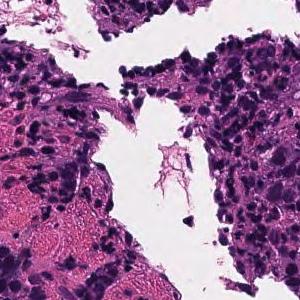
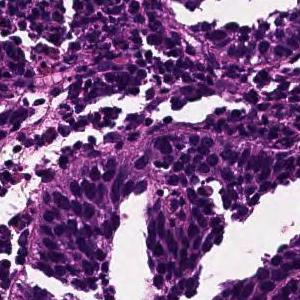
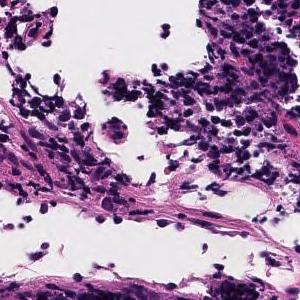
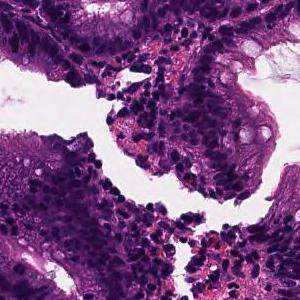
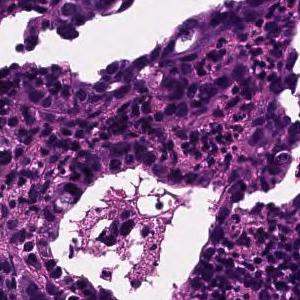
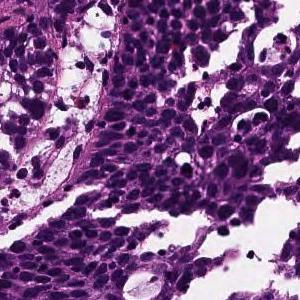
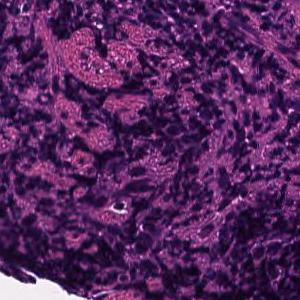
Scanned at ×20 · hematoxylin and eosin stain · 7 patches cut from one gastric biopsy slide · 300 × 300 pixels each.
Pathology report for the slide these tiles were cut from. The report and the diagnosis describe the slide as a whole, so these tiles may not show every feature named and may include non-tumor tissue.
Tumor tissue consisting of cord-like or small, irregular glandular ducts fused and infiltrated is observed in the superficial epithelium. Poorly differentiated adenocarcinoma, non-solid type
The non-solid type named here is a Japanese Classification of Gastric Carcinoma category.
